12 tiles from the same stomach biopsy slide · 300×300 px each · hematoxylin and eosin stain · scanned at ×20.
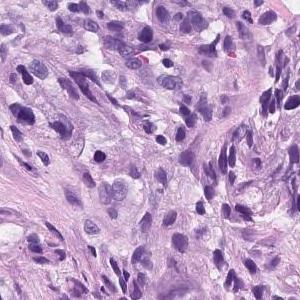
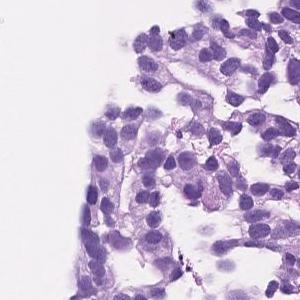
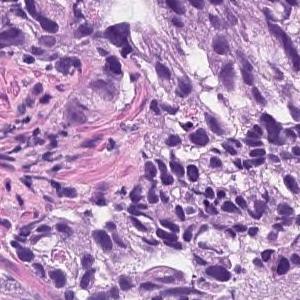
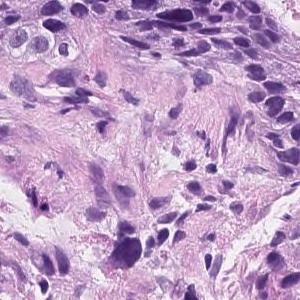
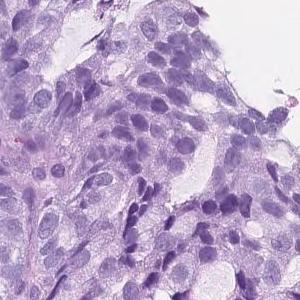
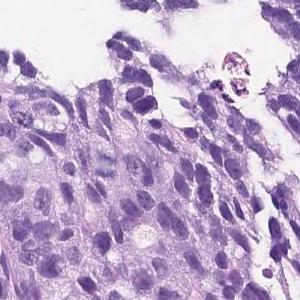
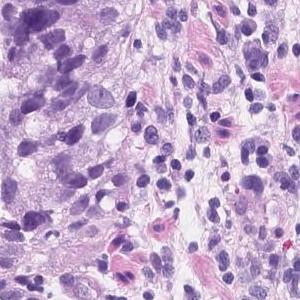
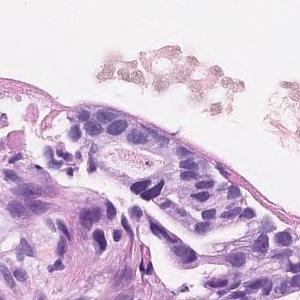
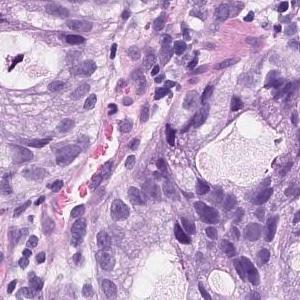
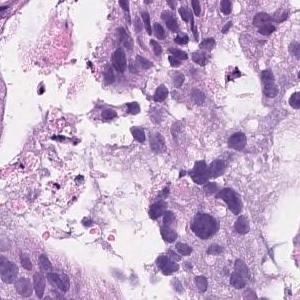
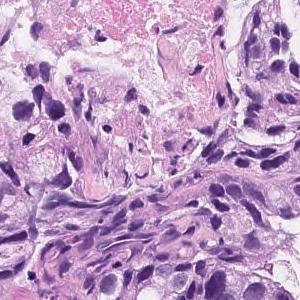
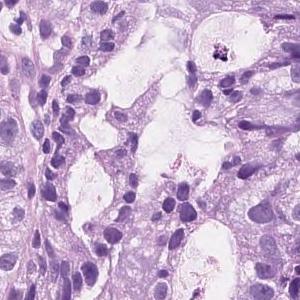
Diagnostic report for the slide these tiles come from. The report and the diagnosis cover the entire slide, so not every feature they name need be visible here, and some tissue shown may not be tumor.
On the superficial epithelium, tumor tissue consisting of an image of large, irregular glandular ducts partially fused and infiltrated is observed. Well to moderately differentiated tubular adenocarcinoma
